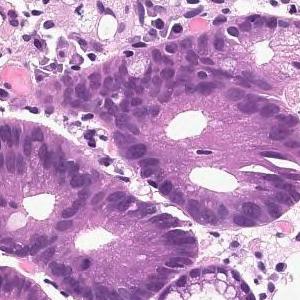
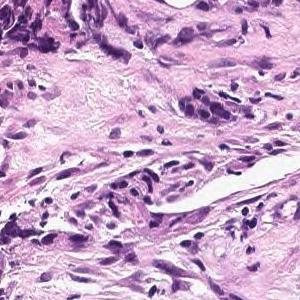
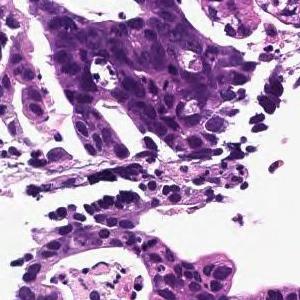
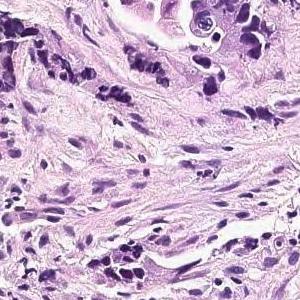
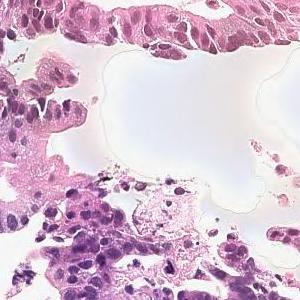
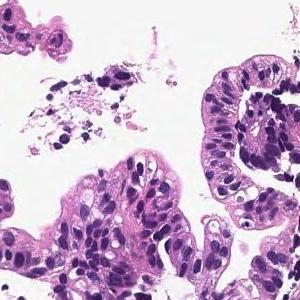
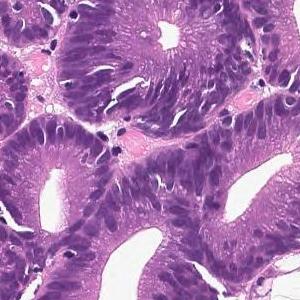
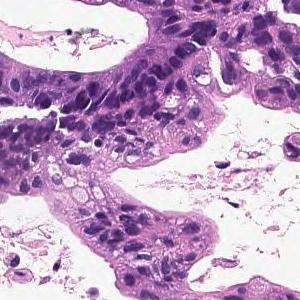
×20, 8 patches cut from one gastric biopsy slide, each 300 × 300 pixels.
Pathology report for the biopsy slide these tiles were cut from. The report and the diagnosis describe the slide as a whole, so these tiles may not show every feature named and may include non-tumor tissue.
In the superficial epithelium, tumor tissue that invades by forming medium-sized to small, irregular ducts is observed. moderately differentiated tubular adenocarcinoma.
